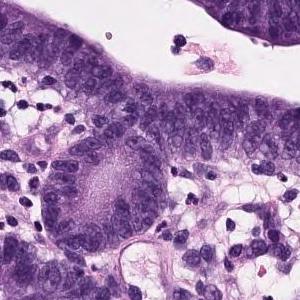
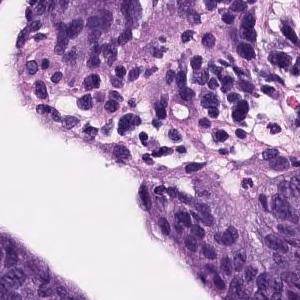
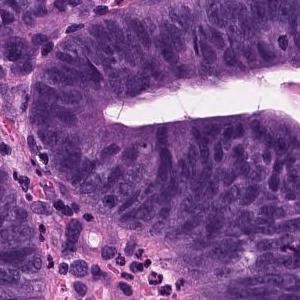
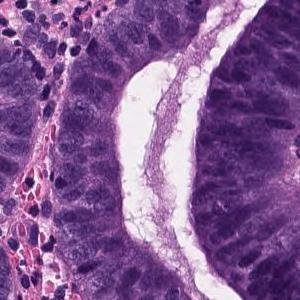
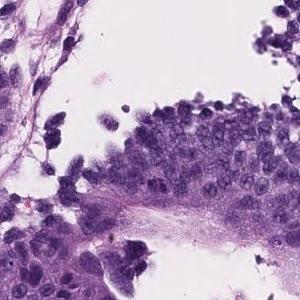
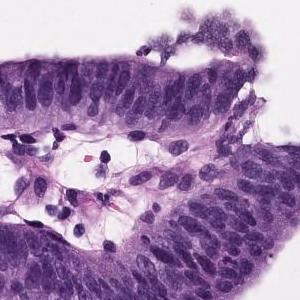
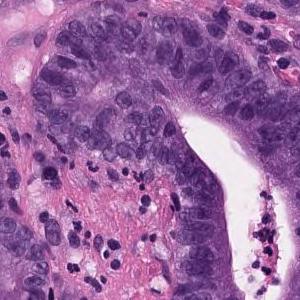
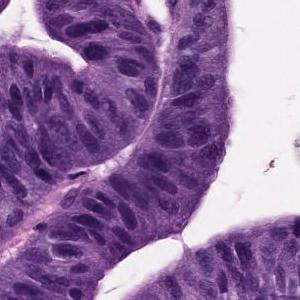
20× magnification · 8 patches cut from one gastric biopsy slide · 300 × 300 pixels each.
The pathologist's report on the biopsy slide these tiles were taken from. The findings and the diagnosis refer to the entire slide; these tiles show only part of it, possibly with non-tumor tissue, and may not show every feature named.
Papillo-tubular growth of atypical tubules with nuclear swelling is observed. Well differentiated tubular adenocarcinoma
